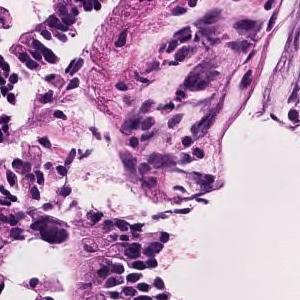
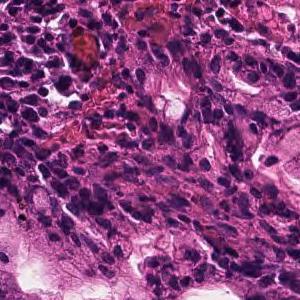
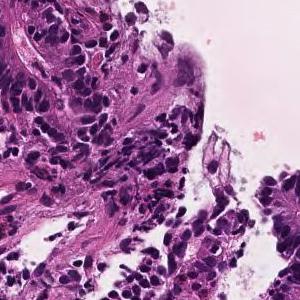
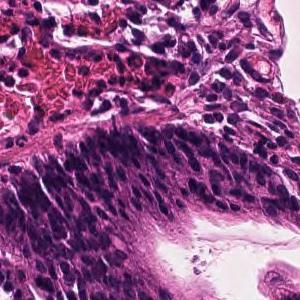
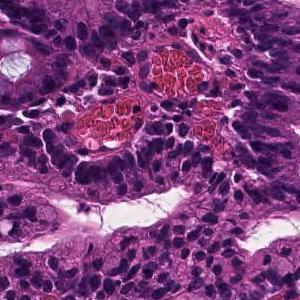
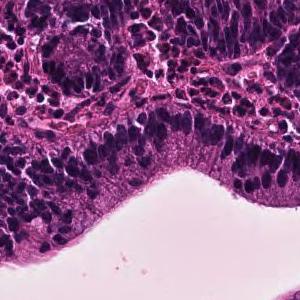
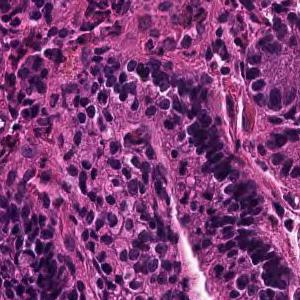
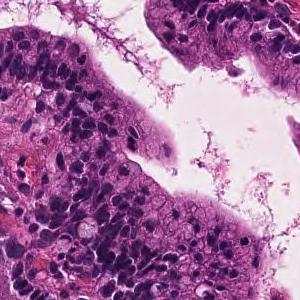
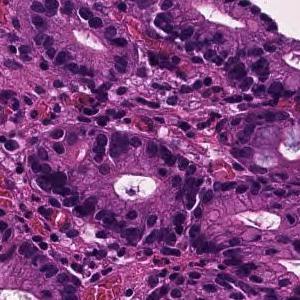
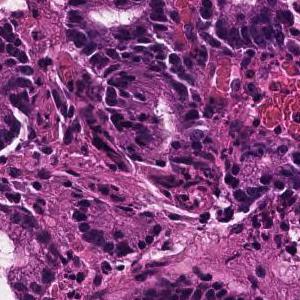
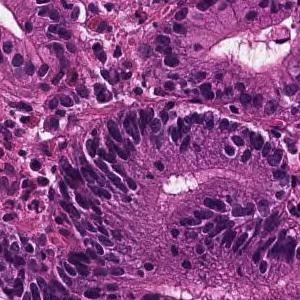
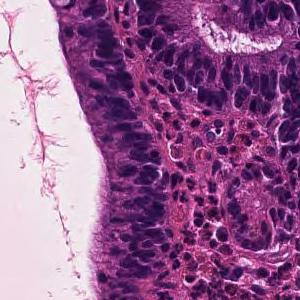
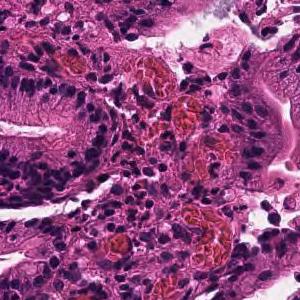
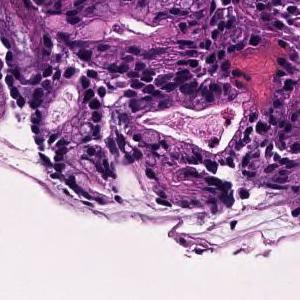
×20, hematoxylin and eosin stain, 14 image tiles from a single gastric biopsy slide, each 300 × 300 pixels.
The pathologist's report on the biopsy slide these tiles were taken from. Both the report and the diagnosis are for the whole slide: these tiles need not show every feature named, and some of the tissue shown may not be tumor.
In the superficial epithelium, tumor tissue that invades by forming medium-sized to small, irregular ducts is observed. moderately differentiated tubular adenocarcinoma.
